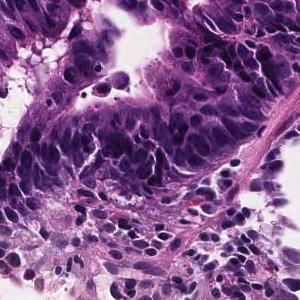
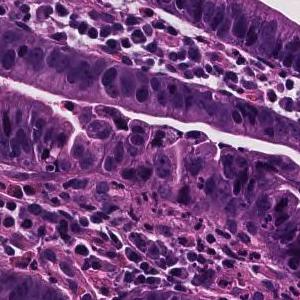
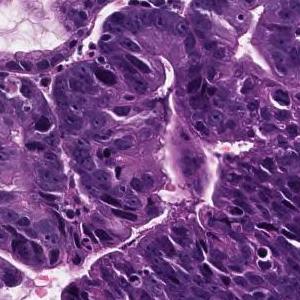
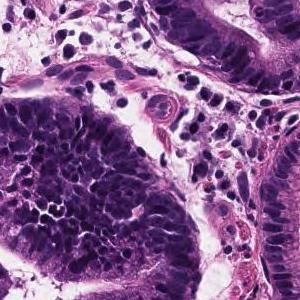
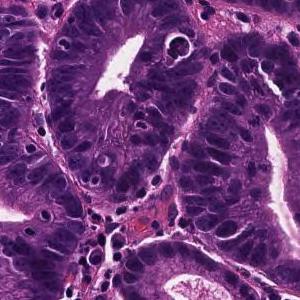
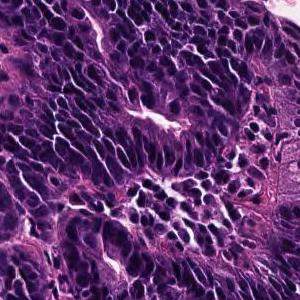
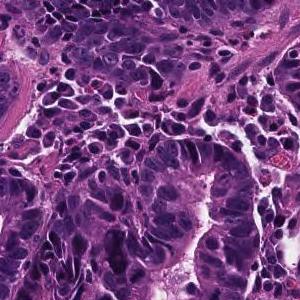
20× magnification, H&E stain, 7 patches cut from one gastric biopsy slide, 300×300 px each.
Report on the slide these tiles come from. The report and the diagnosis cover the entire slide, so not every feature they name need be visible here, and some tissue shown may not be tumor.
On the superficial epithelium, tumor tissue consisting of growth of medium-sized to large-sized, round or irregular glandular ducts is observed. Well differentiated tubular adenocarcinoma
